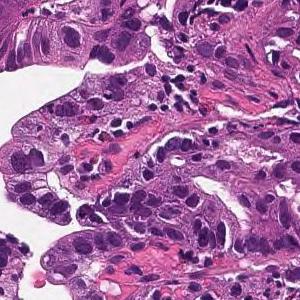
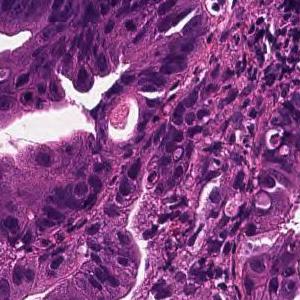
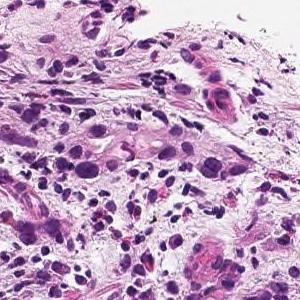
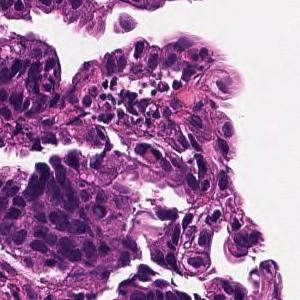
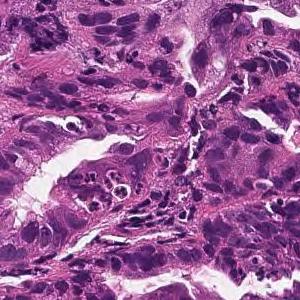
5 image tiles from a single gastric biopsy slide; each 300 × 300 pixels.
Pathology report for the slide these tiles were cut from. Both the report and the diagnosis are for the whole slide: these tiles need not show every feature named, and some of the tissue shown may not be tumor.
On the superficial epithelium, tumor tissue is found in which medium-sized irregular gland ducts fuse with each other and infiltrate. moderately differentiated tubular adenocarcinoma
